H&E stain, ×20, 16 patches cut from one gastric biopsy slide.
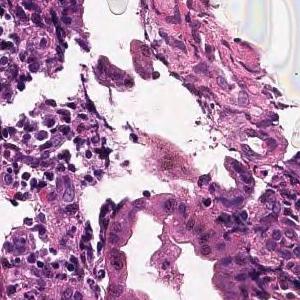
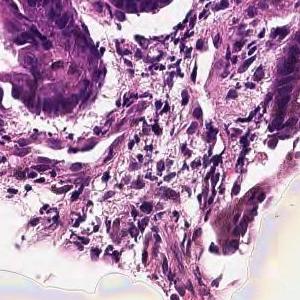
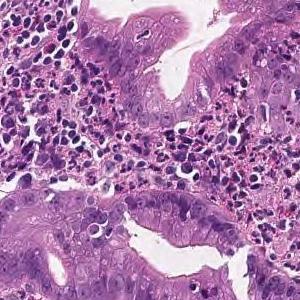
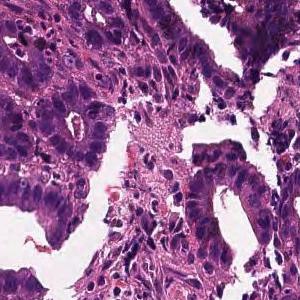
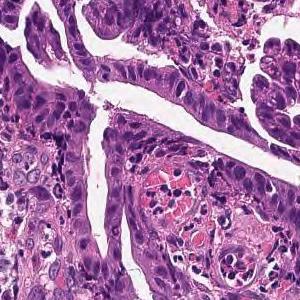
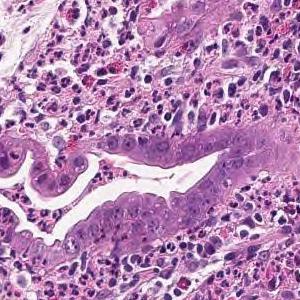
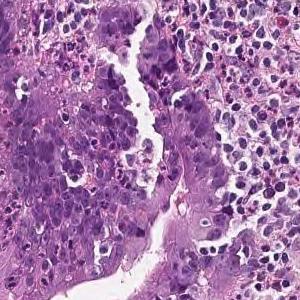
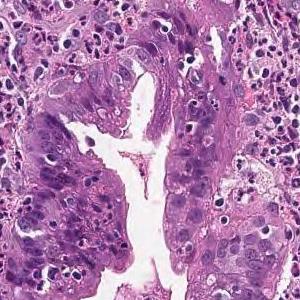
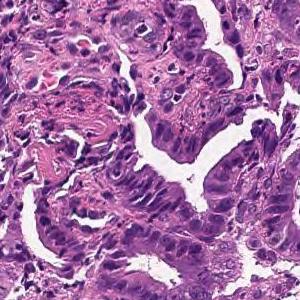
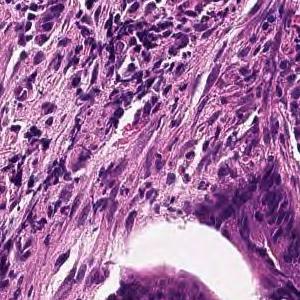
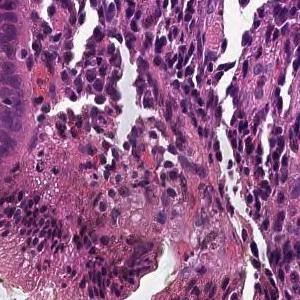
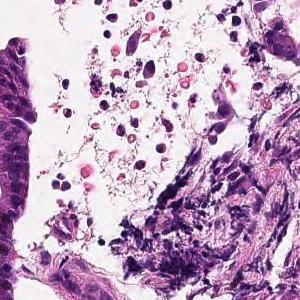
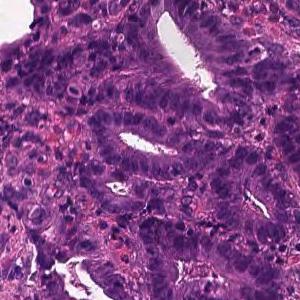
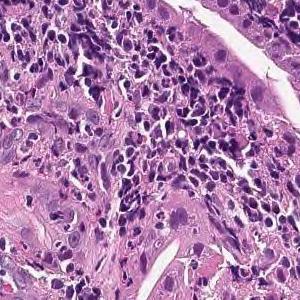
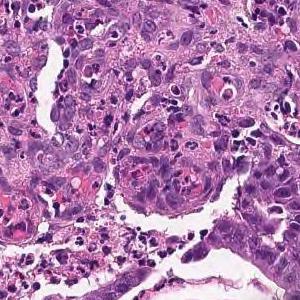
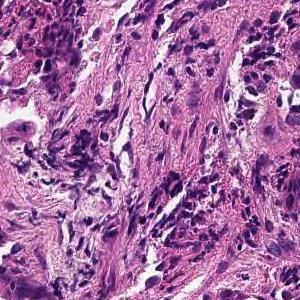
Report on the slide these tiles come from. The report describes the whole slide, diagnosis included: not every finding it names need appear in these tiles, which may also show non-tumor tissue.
From the superficial epithelium to the muscularis mucosae, tumor tissue consisting of medium-sized and irregular glandular ducts infiltrating is observed. Well differentiated tubular adenocarcinoma
